16 tiles cut from one stomach biopsy slide, H&E, scanned at ×20.
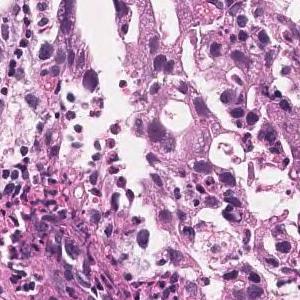
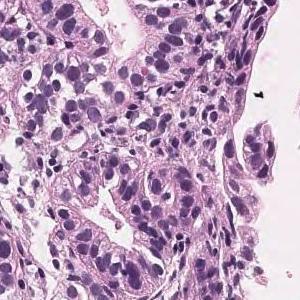
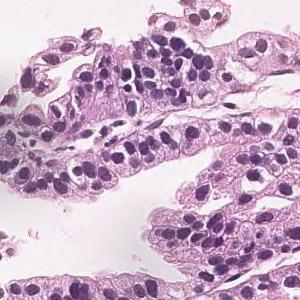
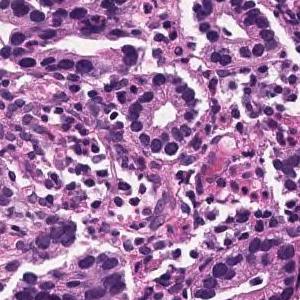
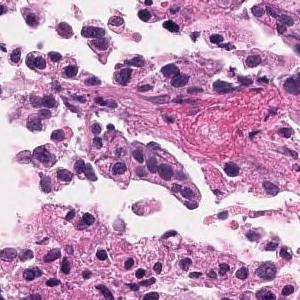
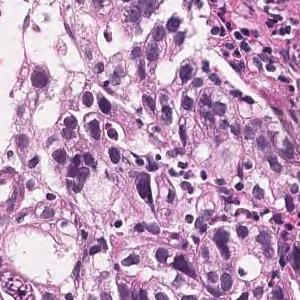
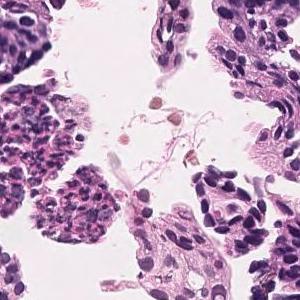
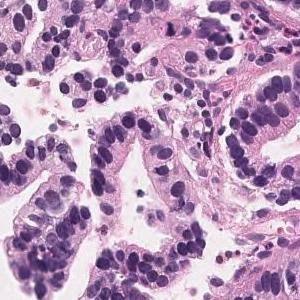
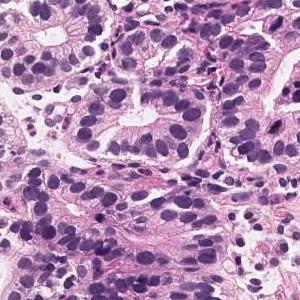
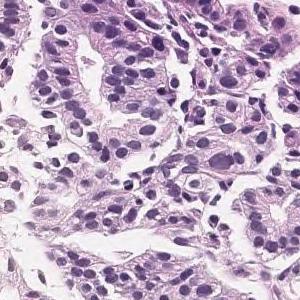
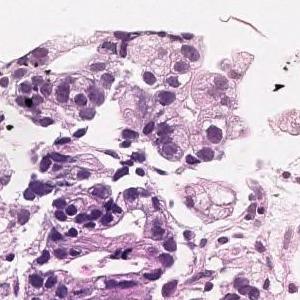
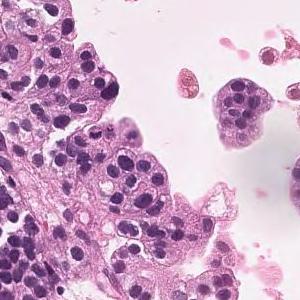
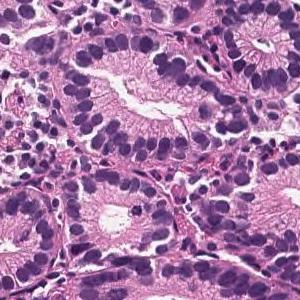
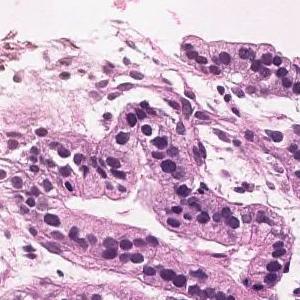
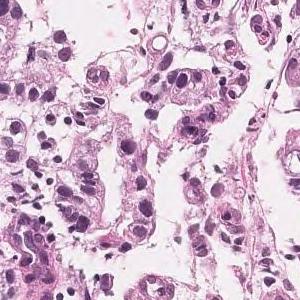
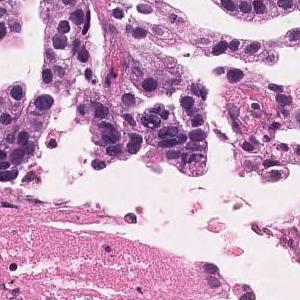
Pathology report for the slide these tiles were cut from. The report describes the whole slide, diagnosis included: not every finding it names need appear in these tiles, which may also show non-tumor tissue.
In the superficial epithelium, tumor tissue that invades by forming medium-sized to small, irregular ducts is observed. moderately differentiated tubular adenocarcinoma.
